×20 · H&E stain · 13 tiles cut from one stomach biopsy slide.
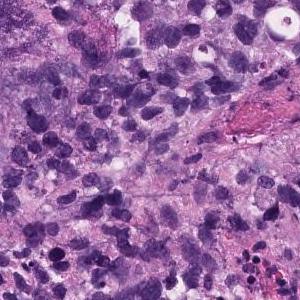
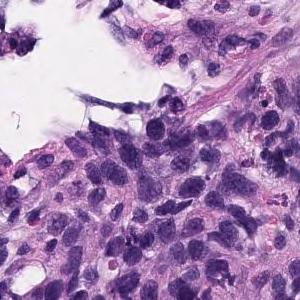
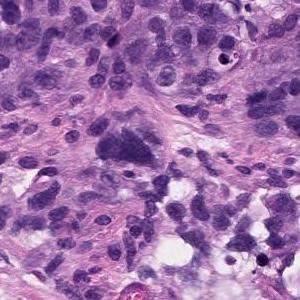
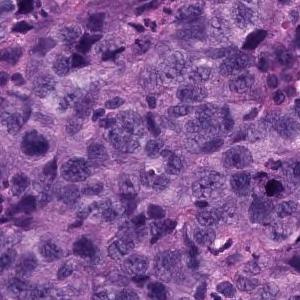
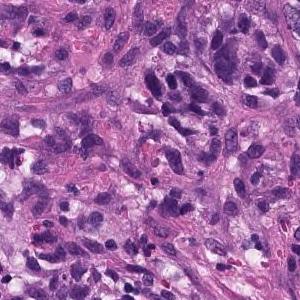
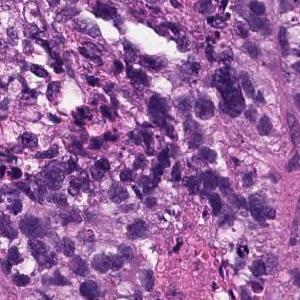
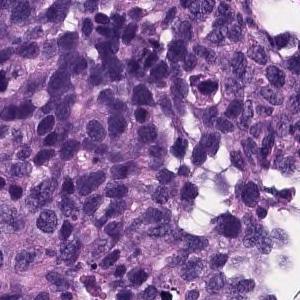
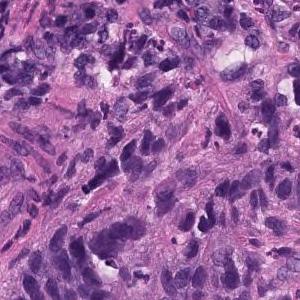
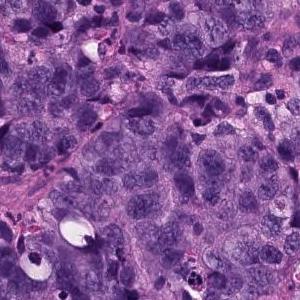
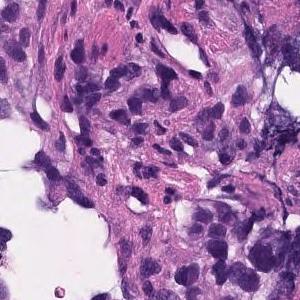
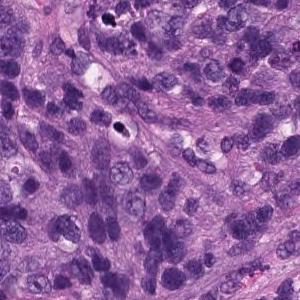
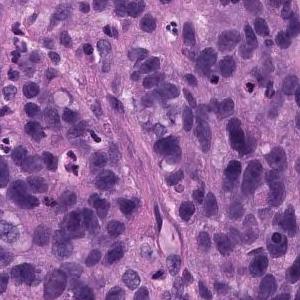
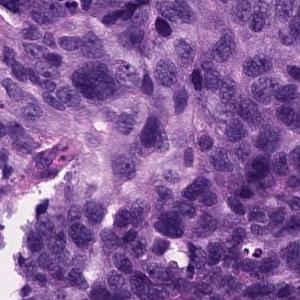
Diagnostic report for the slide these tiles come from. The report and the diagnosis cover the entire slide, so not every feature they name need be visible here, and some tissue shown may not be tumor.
Atypical l cells with atypical nuclei under the mucosa growing in isolation and scattered. Poorly differentiated adenocarcinoma (poorly differentiated adenocarcinoma, non-solid type)
Subtype: Poorly differentiated adenocarcinoma, non-solid type.
The term "non-solid type" comes from the Japanese Classification of Gastric Carcinoma.
